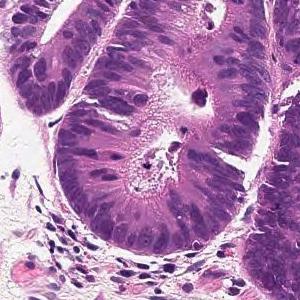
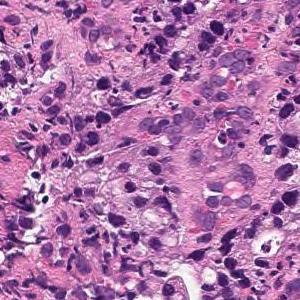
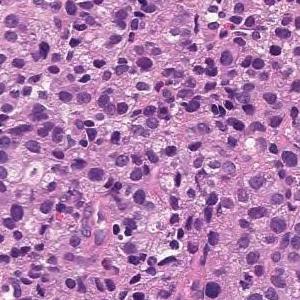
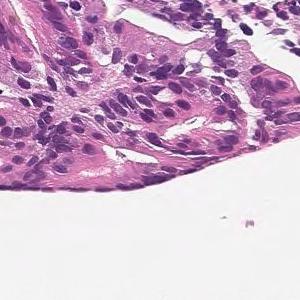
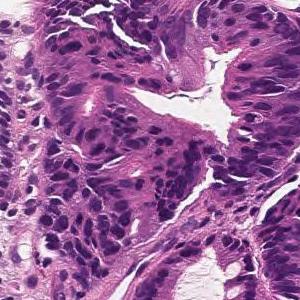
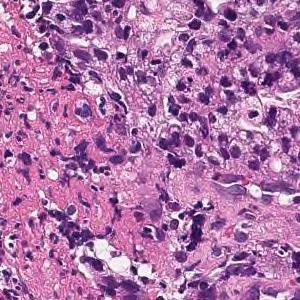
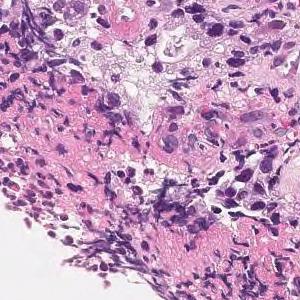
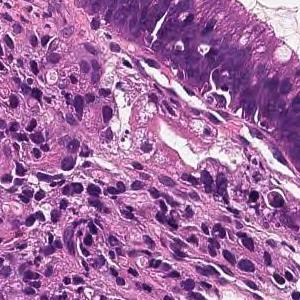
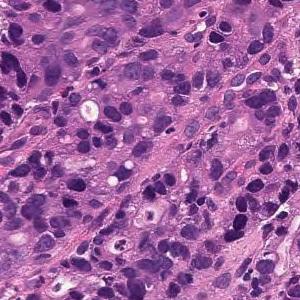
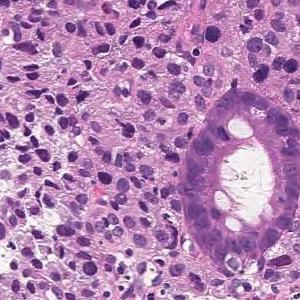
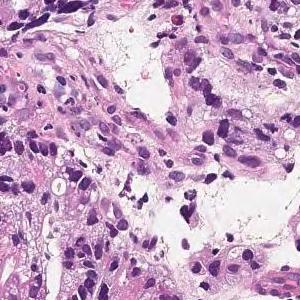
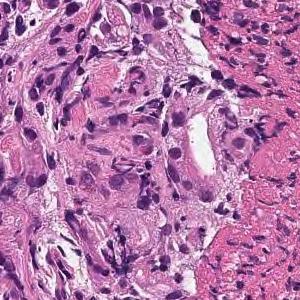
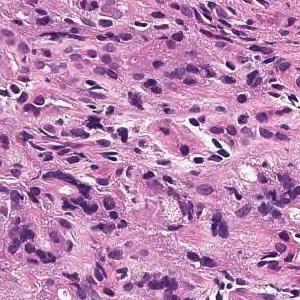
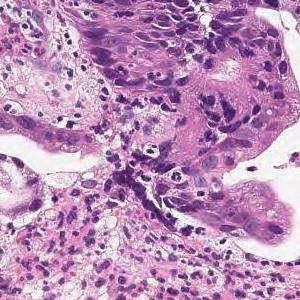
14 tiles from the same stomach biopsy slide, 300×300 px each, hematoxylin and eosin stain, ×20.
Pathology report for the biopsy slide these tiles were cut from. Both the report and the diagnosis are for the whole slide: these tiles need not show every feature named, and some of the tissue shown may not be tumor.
In the superficial epithelium, medium to small irregular gland ducts are formed, and in some cases, the ducts are fused to show solid alveolar lesions and infiltrating tumor tissue is observed. moderately differentiated tubular adenocarcinoma or poorly differentiated adenocarcinoma, solid-type (poorly differentiated adenocarcinoma, solid type)
The dataset labels this slide poorly differentiated adenocarcinoma, solid type (Japanese Classification of Gastric Carcinoma). The WHO 2019 equivalent is tubular adenocarcinoma, poorly differentiated.
